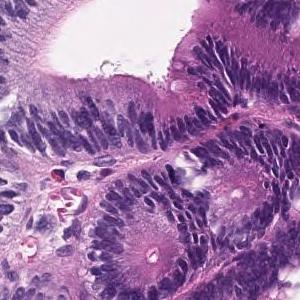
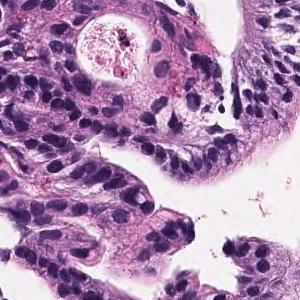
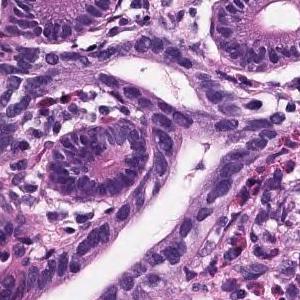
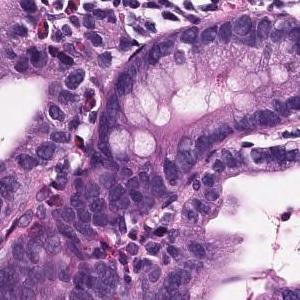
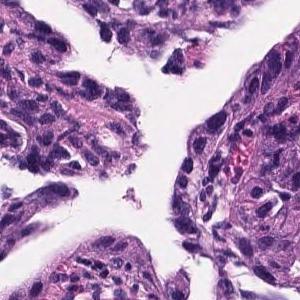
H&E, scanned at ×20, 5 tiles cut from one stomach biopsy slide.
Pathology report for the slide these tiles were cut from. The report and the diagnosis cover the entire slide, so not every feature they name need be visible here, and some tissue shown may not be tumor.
Tumor cells are large, highly columnar, large club-shaped nuclei, and are associated with chromatin aggregation. Papillary adenocarcinoma.
